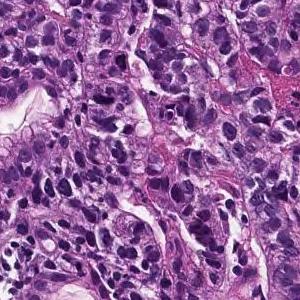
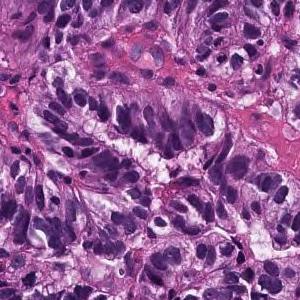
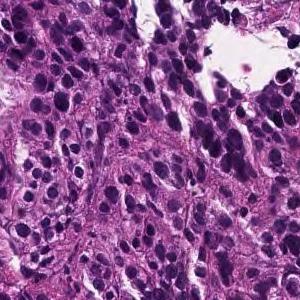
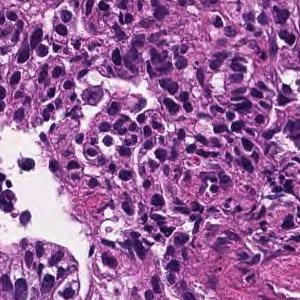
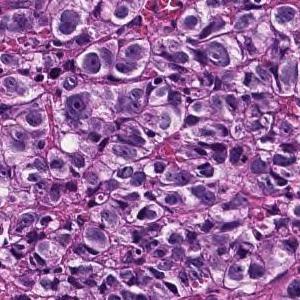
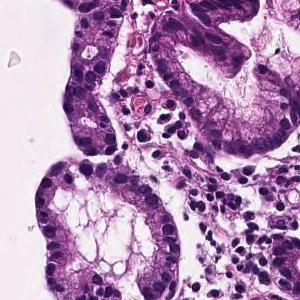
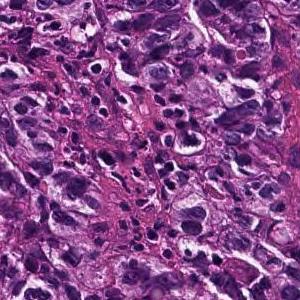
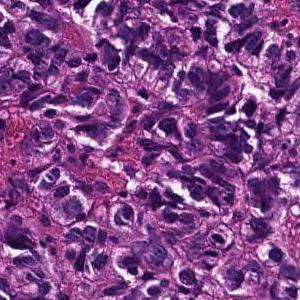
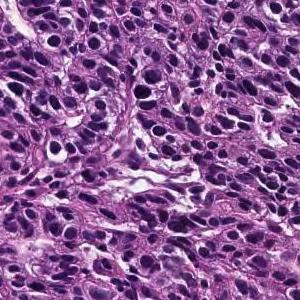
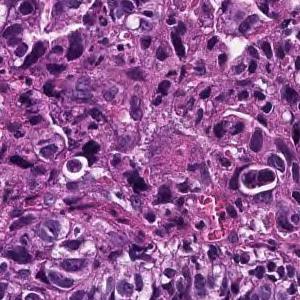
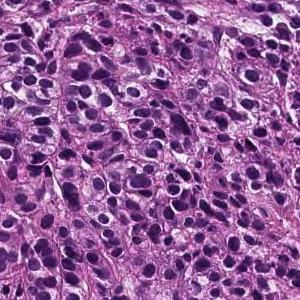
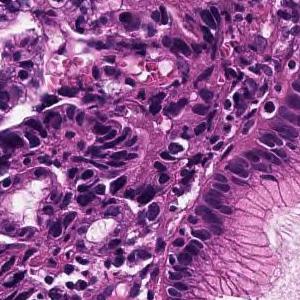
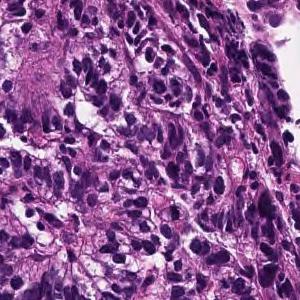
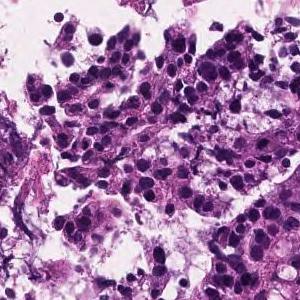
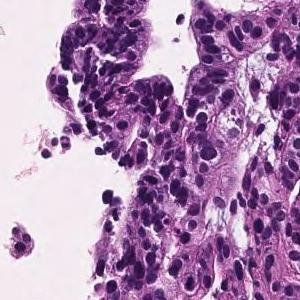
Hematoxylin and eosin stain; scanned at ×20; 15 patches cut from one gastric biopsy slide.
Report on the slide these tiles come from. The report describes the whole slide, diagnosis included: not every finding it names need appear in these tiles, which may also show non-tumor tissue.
In the superficial epithelium, tumor tissue that invades by forming medium-sized to small, irregular ducts is observed. moderately differentiated tubular adenocarcinoma.
